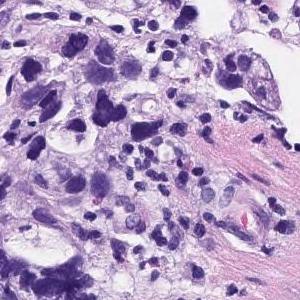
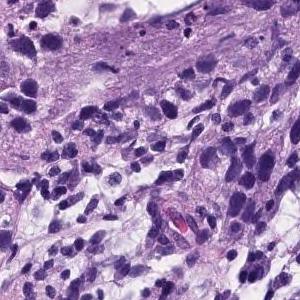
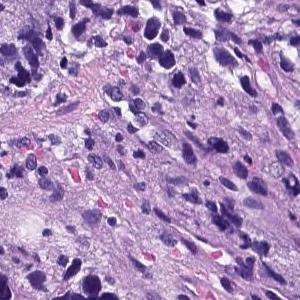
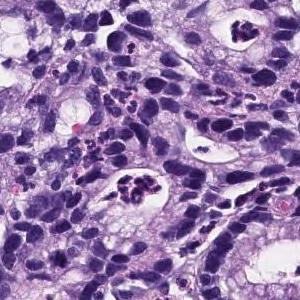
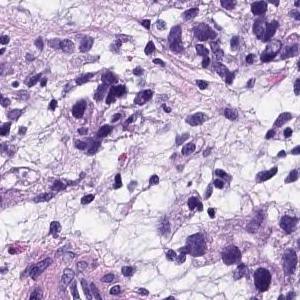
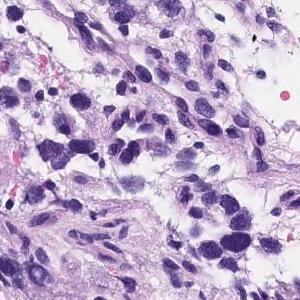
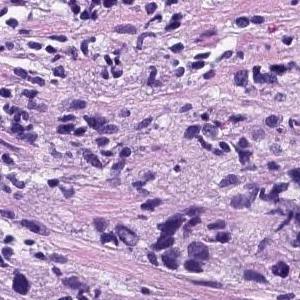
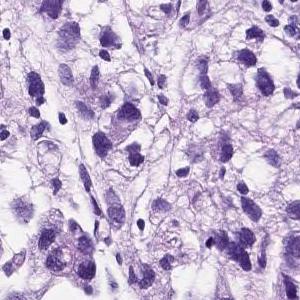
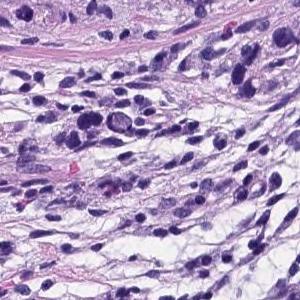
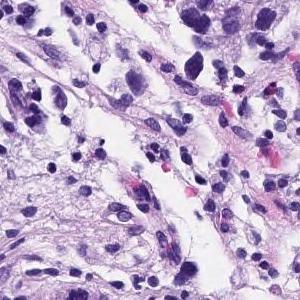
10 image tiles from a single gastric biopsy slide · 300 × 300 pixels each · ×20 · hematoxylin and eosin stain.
Pathology report for the biopsy slide these tiles were cut from. The findings and the diagnosis refer to the entire slide; these tiles show only part of it, possibly with non-tumor tissue, and may not show every feature named.
Medium to small, irregular glandular ducts are formed in the superficial epithelium, and in some cases, the glandular ducts are fused to show solid alveolar lesions and infiltrating tumor tissue is observed. Poorly differentiated adenocarcinoma, Moderately differentiated adenocarcinoma.
Labeled in the dataset as moderately differentiated tubular adenocarcinoma.
